12 tiles from the same stomach biopsy slide; each 300 × 300 pixels; 20× magnification; H&E.
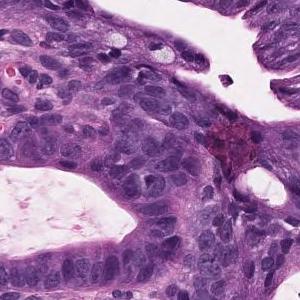
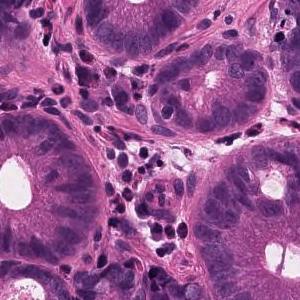
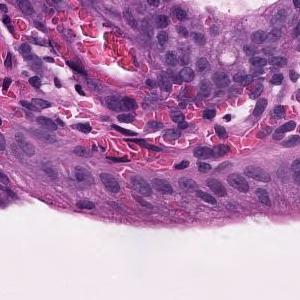
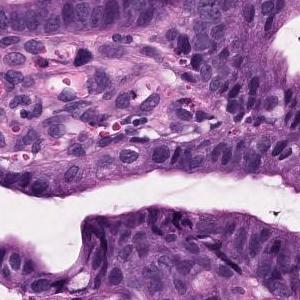
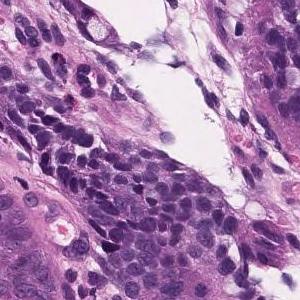
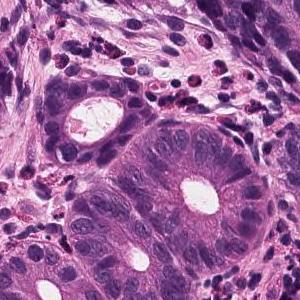
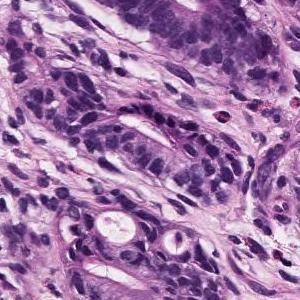
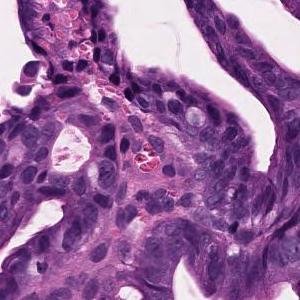
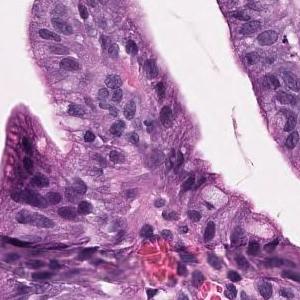
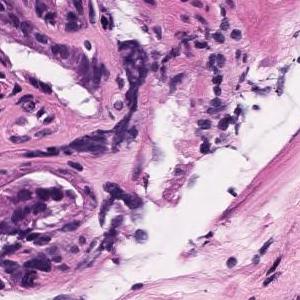
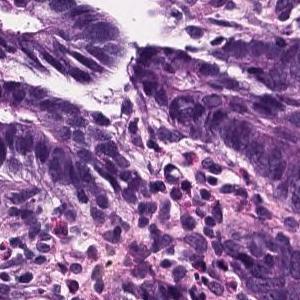
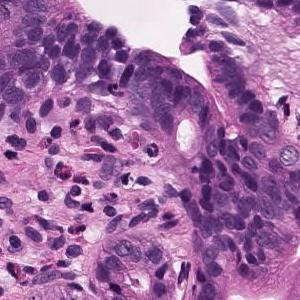
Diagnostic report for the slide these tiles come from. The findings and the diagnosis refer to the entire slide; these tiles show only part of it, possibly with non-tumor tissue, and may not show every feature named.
Atypical ducts proliferating while irregularly fusing in the lateral direction is observed. Well differentiated tubular adenocarcinoma
